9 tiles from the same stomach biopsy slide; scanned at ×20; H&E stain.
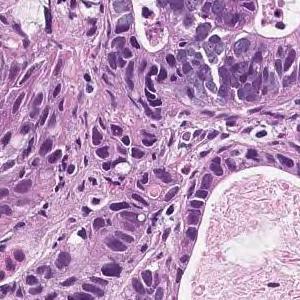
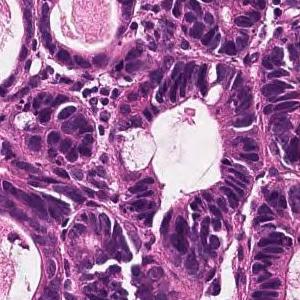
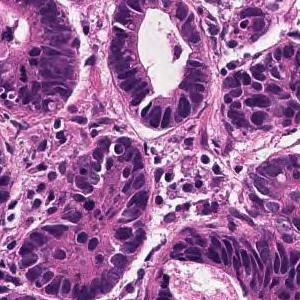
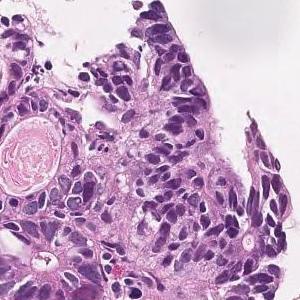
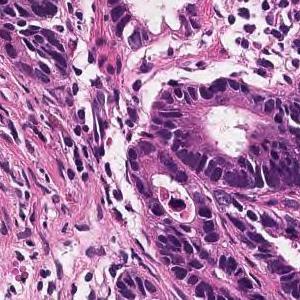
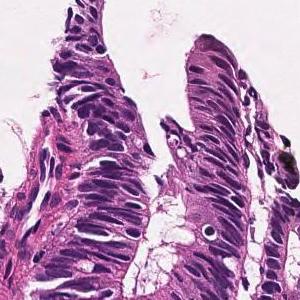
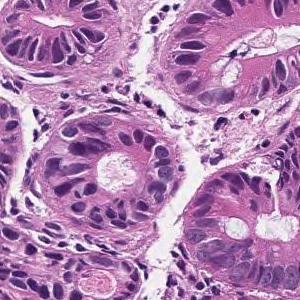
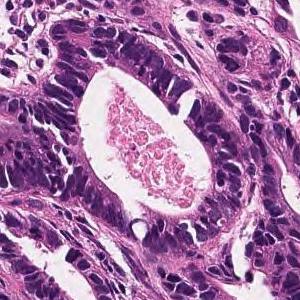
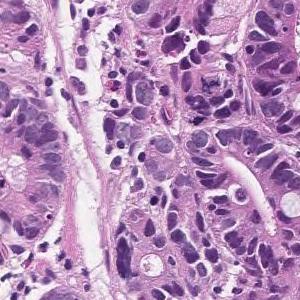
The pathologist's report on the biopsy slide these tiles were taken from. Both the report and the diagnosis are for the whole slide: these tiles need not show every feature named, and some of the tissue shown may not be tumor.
In the superficial epithelium, tumor tissue that invades by forming medium-sized to small, irregular ducts is observed. Well differentiated tubular adenocarcinoma.
